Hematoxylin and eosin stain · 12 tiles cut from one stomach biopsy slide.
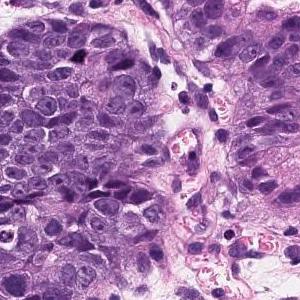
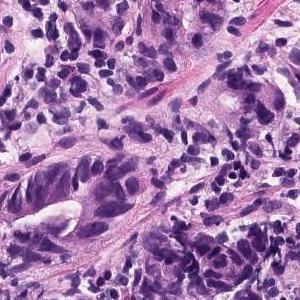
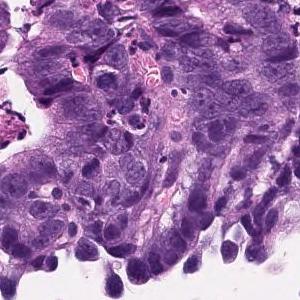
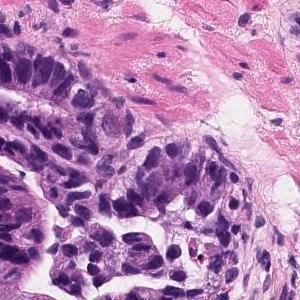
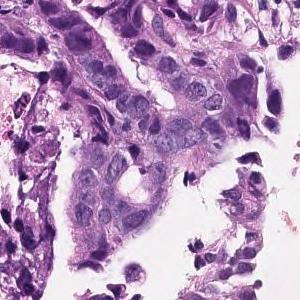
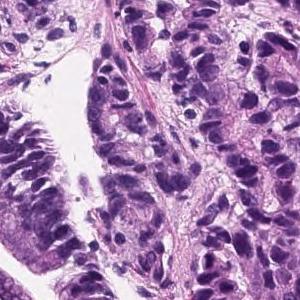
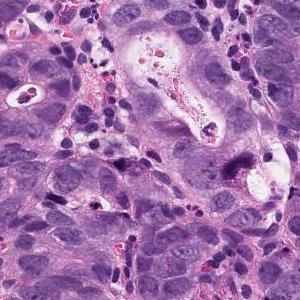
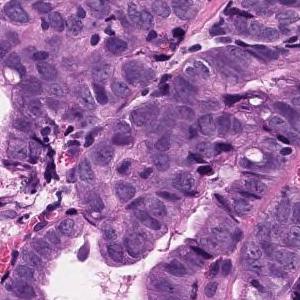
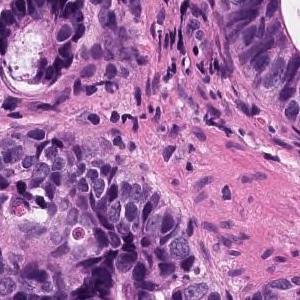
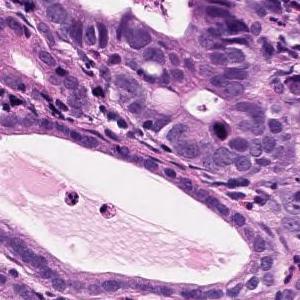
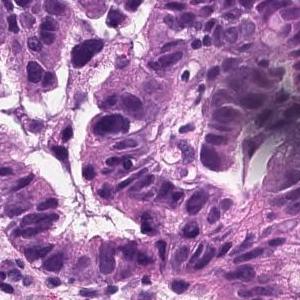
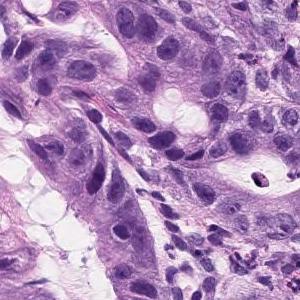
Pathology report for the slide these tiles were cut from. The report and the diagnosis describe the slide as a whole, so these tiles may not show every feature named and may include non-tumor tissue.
The swollen atypical epithelium of the nucleus forms an irregular ductal structure and proliferates. moderately differentiated tubular adenocarcinoma
